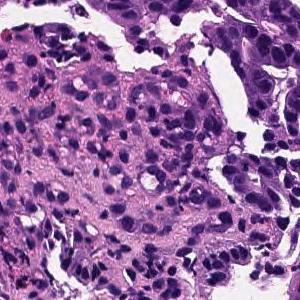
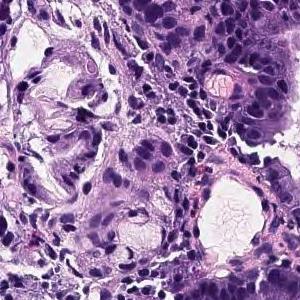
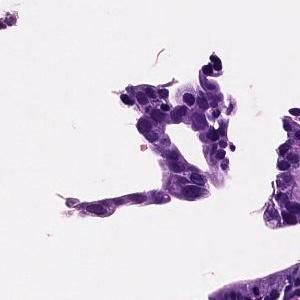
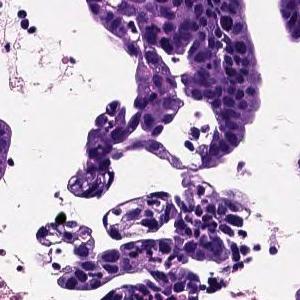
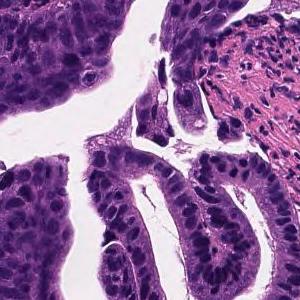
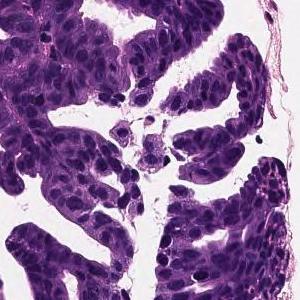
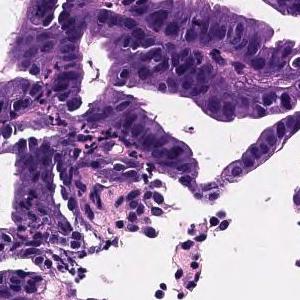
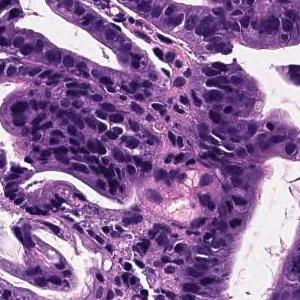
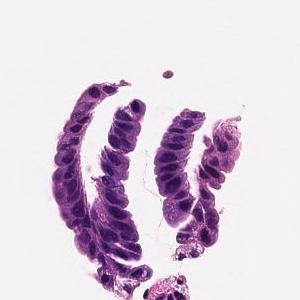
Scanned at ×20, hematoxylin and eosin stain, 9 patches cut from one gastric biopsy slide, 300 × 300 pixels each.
Pathology report for the biopsy slide these tiles were cut from. The report describes the whole slide, diagnosis included: not every finding it names need appear in these tiles, which may also show non-tumor tissue.
Tumor cells are large, highly columnar, large club-shaped nuclei, and are associated with chromatin aggregation. Papillary adenocarcinoma.
